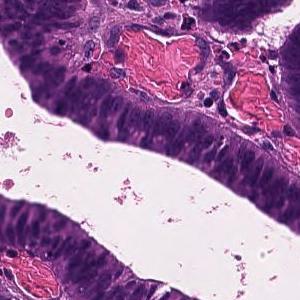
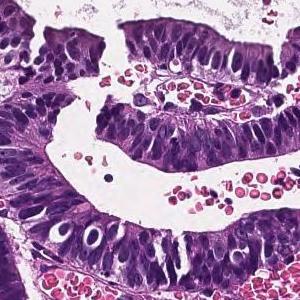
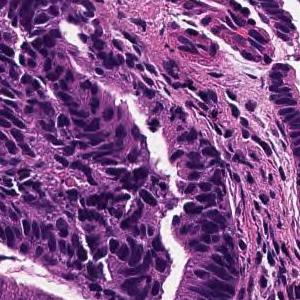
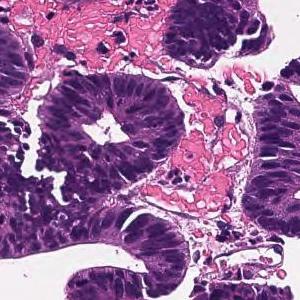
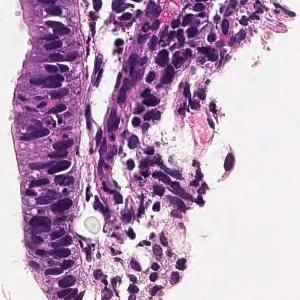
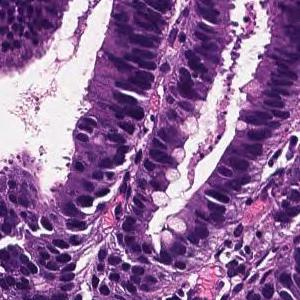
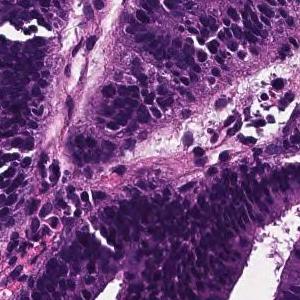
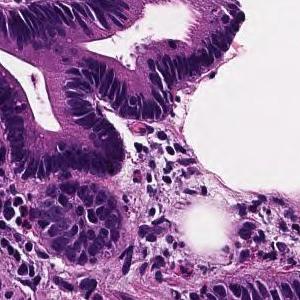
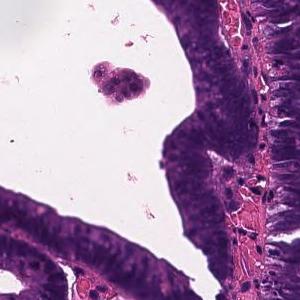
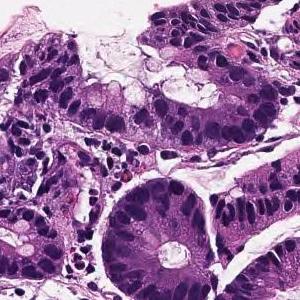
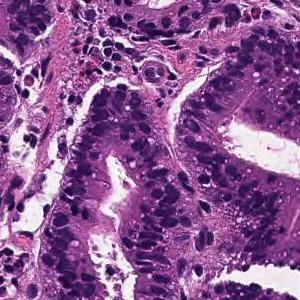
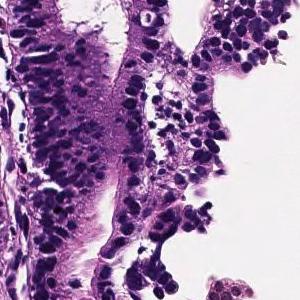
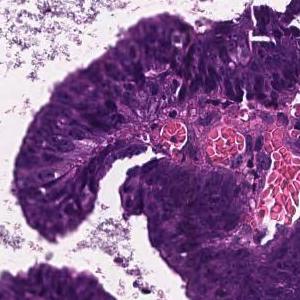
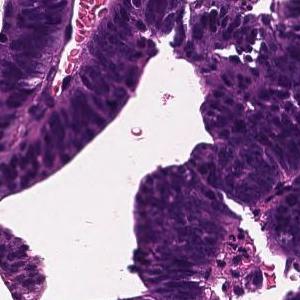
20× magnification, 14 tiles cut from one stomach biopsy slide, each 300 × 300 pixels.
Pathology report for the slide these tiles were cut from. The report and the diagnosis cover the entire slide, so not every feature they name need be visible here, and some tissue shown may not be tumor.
Tumor tissue consisting of large papillary structures is found in the superficial epithelium. Papillary adenocarcinoma.
